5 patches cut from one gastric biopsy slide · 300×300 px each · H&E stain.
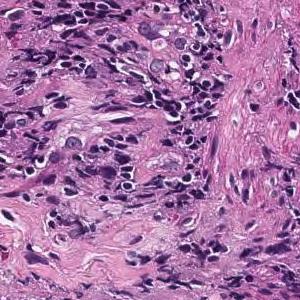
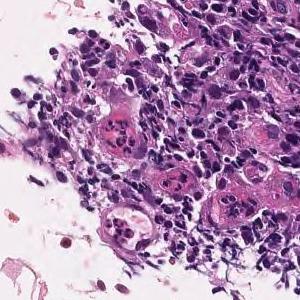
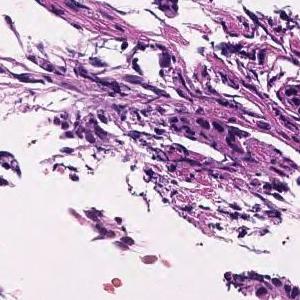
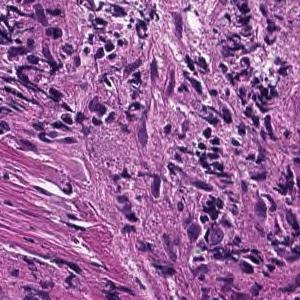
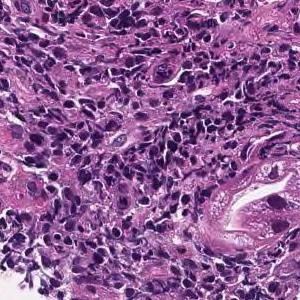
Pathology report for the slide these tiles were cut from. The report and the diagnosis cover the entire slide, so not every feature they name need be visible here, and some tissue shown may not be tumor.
On the superficial epithelium, tumor tissue consisting of large, irregular glandular ducts partially fused and infiltrated is observed. Well to moderately differentiated tubular adenocarcinoma (well differentiated tubular adenocarcinoma, moderately differentiated tubular adenocarcinoma)
Histological subtype: Well to moderately differentiated tubular adenocarcinoma.
